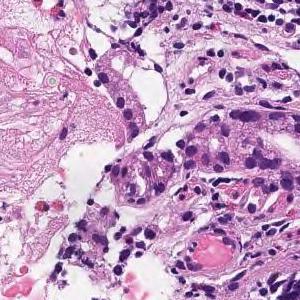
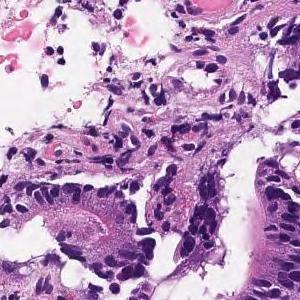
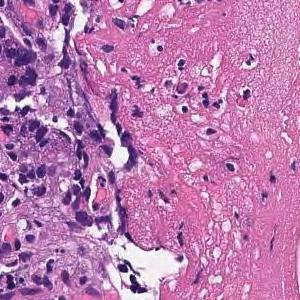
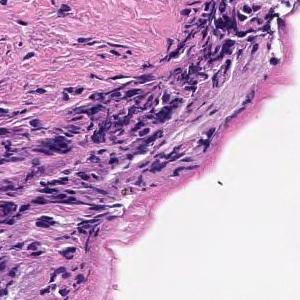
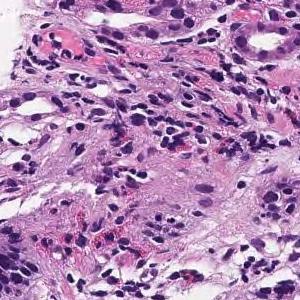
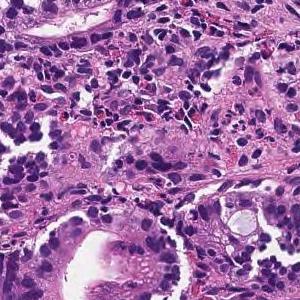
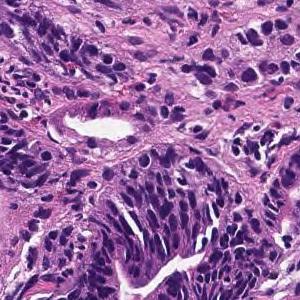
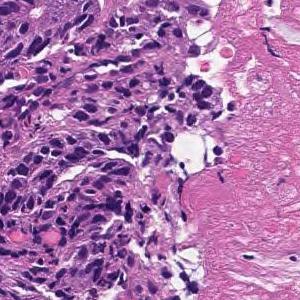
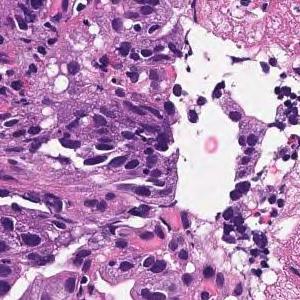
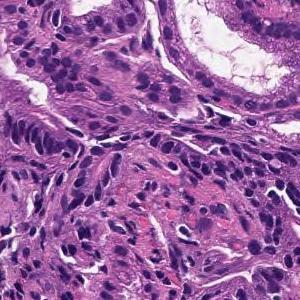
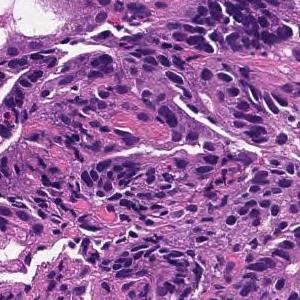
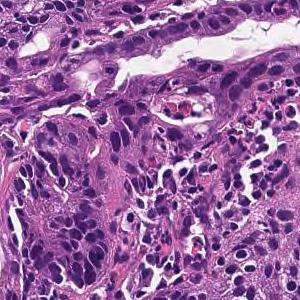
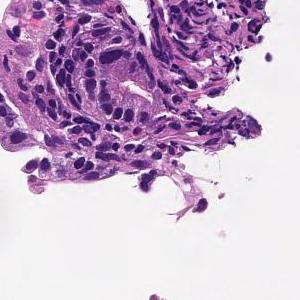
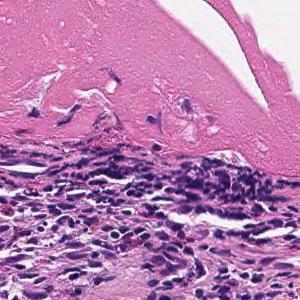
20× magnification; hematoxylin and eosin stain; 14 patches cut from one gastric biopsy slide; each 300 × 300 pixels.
Report on the slide these tiles come from. The findings and the diagnosis refer to the entire slide; these tiles show only part of it, possibly with non-tumor tissue, and may not show every feature named.
In the superficial epithelium, tumor tissue that invades by forming medium-sized to small, irregular ducts is observed. moderately differentiated tubular adenocarcinoma.
